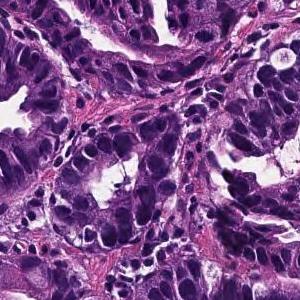
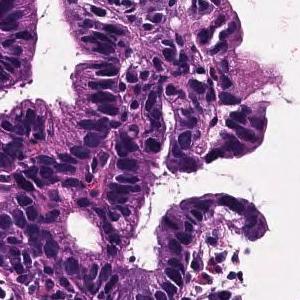
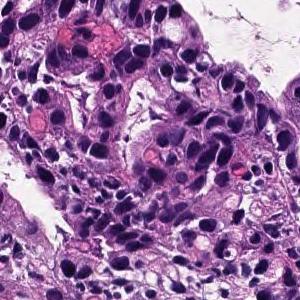
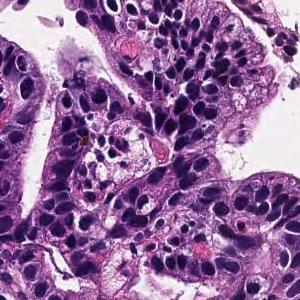
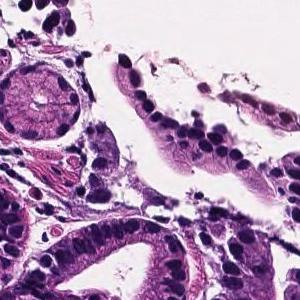
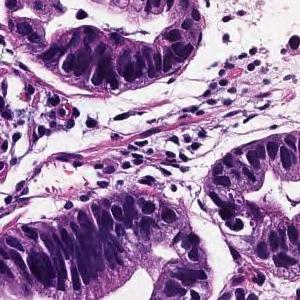
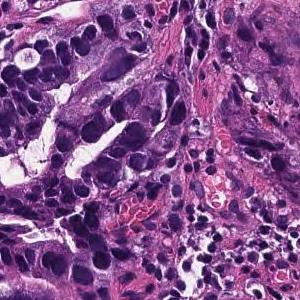
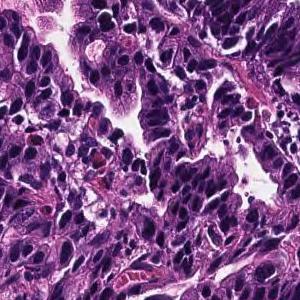
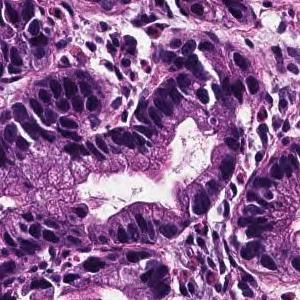
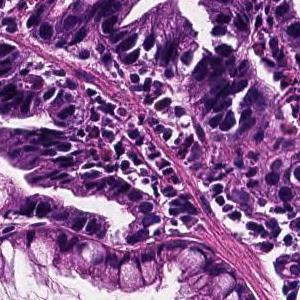
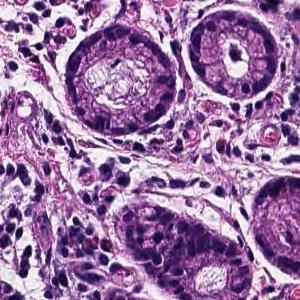
H&E · 11 image tiles from a single gastric biopsy slide.
Report on the slide these tiles come from. The findings and the diagnosis refer to the entire slide; these tiles show only part of it, possibly with non-tumor tissue, and may not show every feature named.
Tumor cells are large, highly columnar, large club-shaped nuclei, and are associated with chromatin aggregation. Papillary adenocarcinoma.
